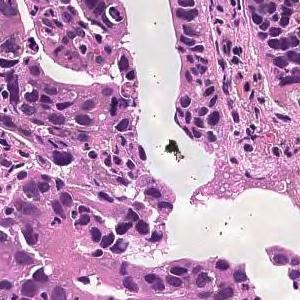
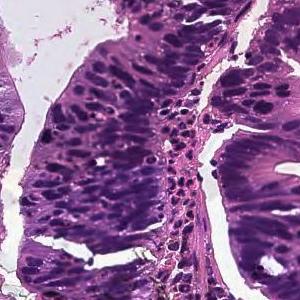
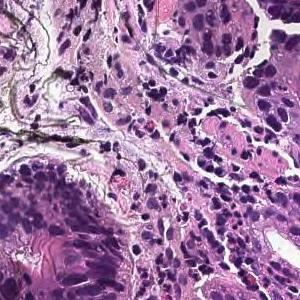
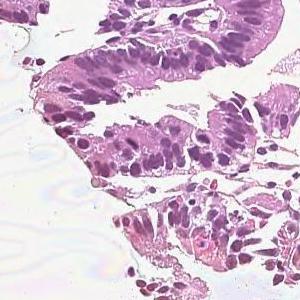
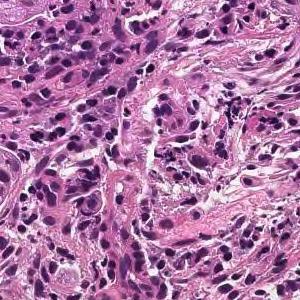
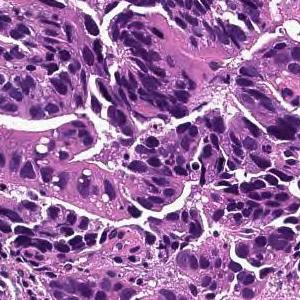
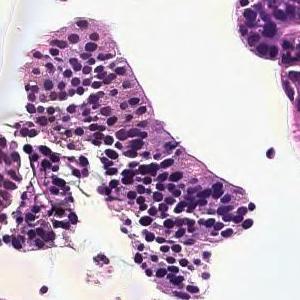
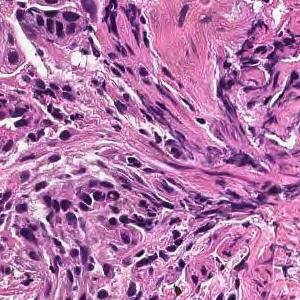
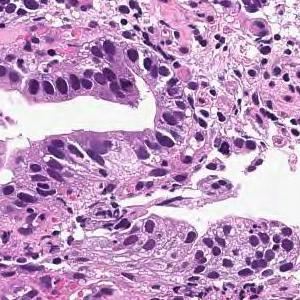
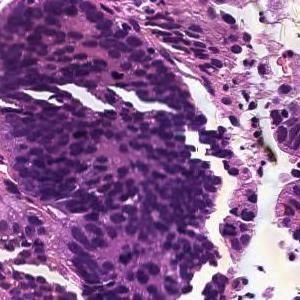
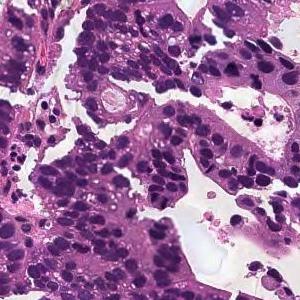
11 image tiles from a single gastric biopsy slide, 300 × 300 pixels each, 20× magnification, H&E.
Report on the slide these tiles come from. The report describes the whole slide, diagnosis included: not every finding it names need appear in these tiles, which may also show non-tumor tissue.
On the superficial epithelium, tumor tissue consisting of large irregular glandular ducts partially fused and infiltrated is observed. Well to moderately differentiated tubular adenocarcinoma (well differentiated tubular adenocarcinoma, moderately differentiated tubular adenocarcinoma)
Classified as well to moderately differentiated tubular adenocarcinoma.
